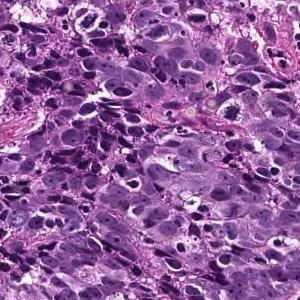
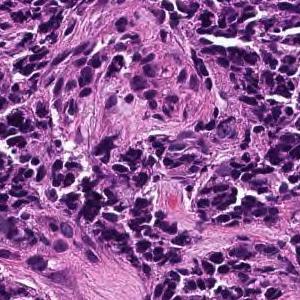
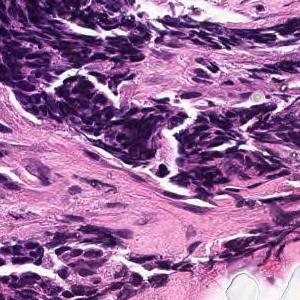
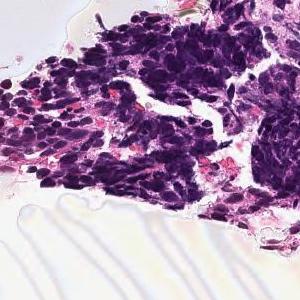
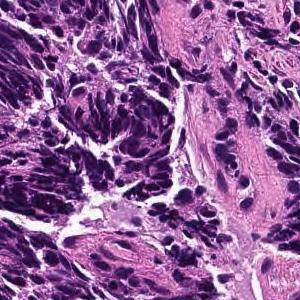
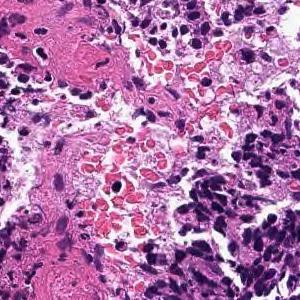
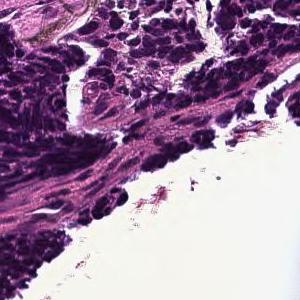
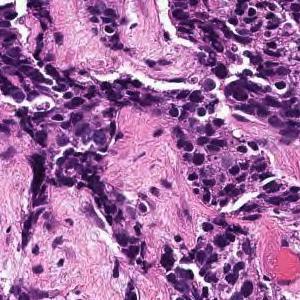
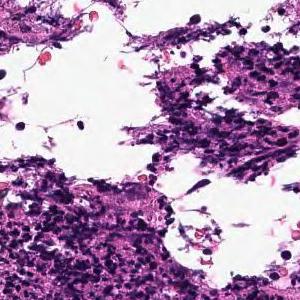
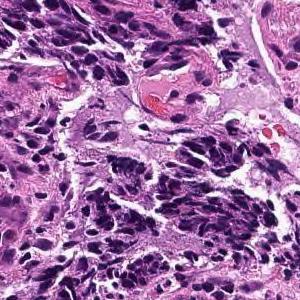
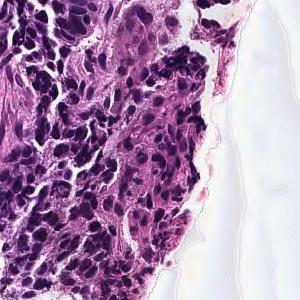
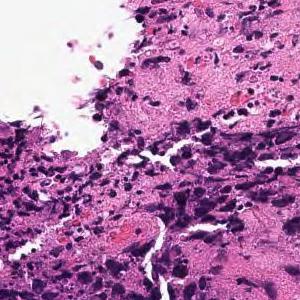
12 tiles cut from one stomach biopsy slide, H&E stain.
Pathology report for the slide these tiles were cut from. The report and the diagnosis describe the slide as a whole, so these tiles may not show every feature named and may include non-tumor tissue.
The superficial epithelium shows a large sheet or alveolar shape, and tumor tissue infiltrating without irregular ducts is observed. Poorly differentiated adenocarcinoma, solid-type
Subtype: Poorly differentiated adenocarcinoma, solid type. This name comes from the Japanese Classification of Gastric Carcinoma; the WHO 2019 classification calls it tubular adenocarcinoma, poorly differentiated.
